12 tiles cut from one stomach biopsy slide · H&E.
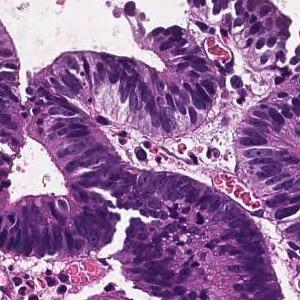
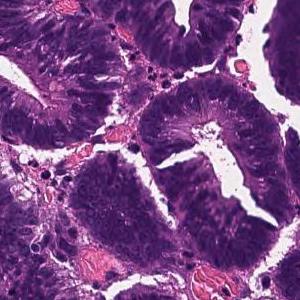
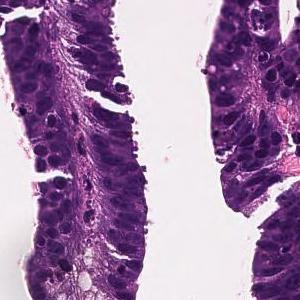
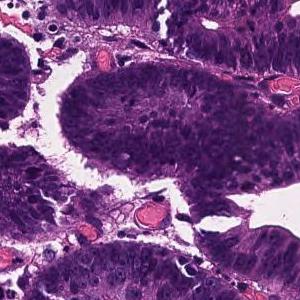
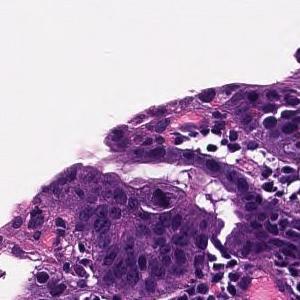
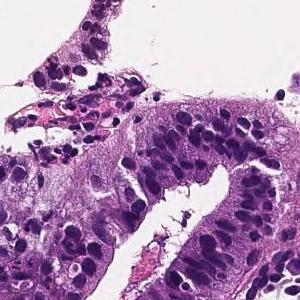
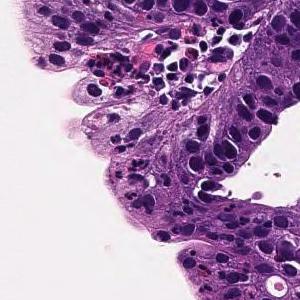
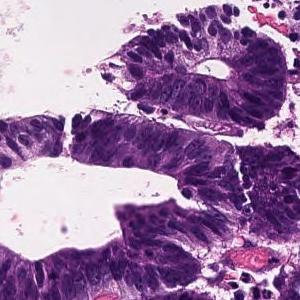
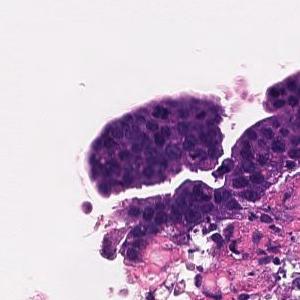
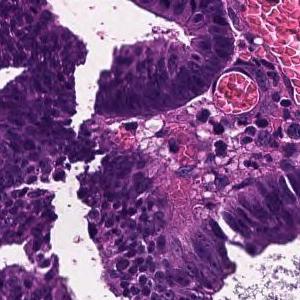
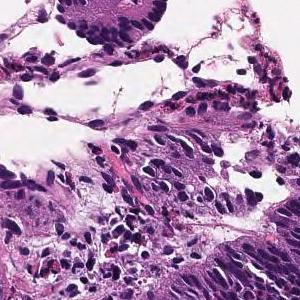
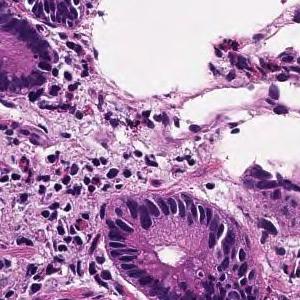
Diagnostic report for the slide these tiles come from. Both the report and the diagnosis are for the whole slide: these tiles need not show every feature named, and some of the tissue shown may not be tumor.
Tumor tissue consisting of large papillary structures is found in the superficial epithelium. Papillary adenocarcinoma.
